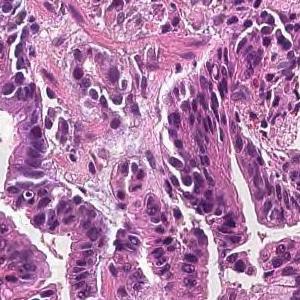
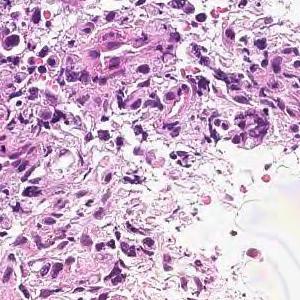
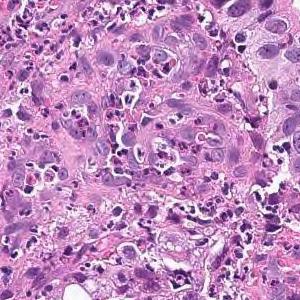
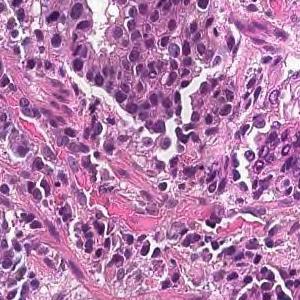
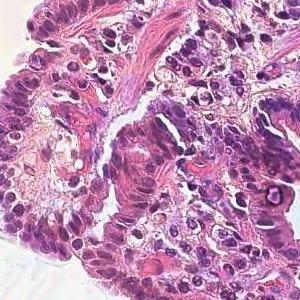
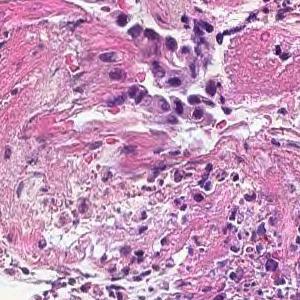
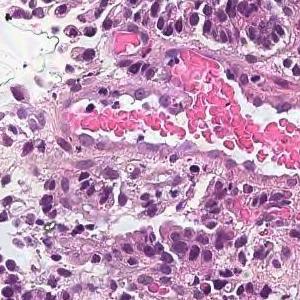
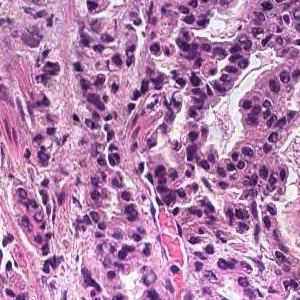
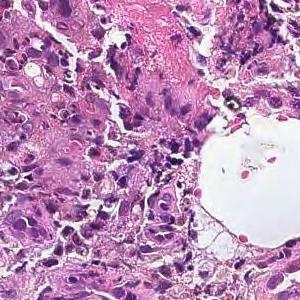
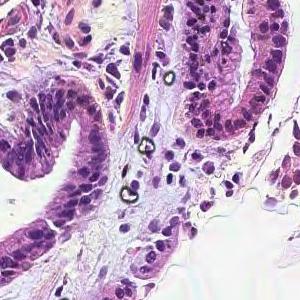
10 tiles cut from one stomach biopsy slide, 300×300 px each, H&E stain.
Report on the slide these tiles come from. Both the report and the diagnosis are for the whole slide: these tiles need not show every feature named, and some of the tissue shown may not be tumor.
Tumor tissue consisting of medium-sized, cord-like or irregular glandular infiltration is observed in the superficial epithelium. Poorly differentiated adenocarcinoma, non-solid type or moderately differentiated tubular adenocarcinoma
Tumor subtype: moderately to poorly differentiated adenocarcinoma.
"Non-solid type" is a category of the Japanese Classification of Gastric Carcinoma.
